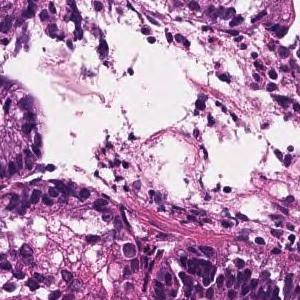
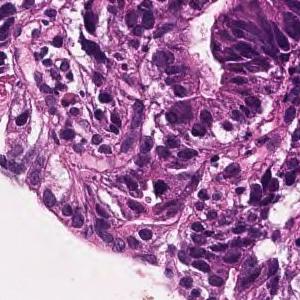
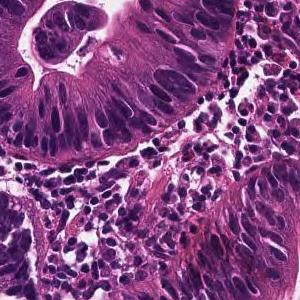
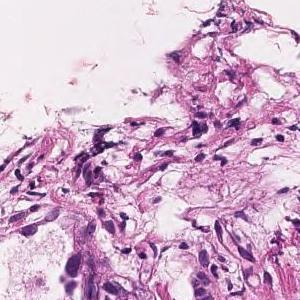
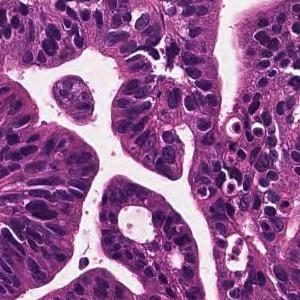
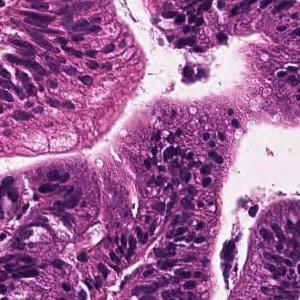
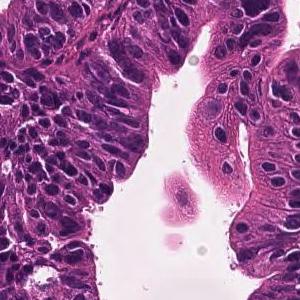
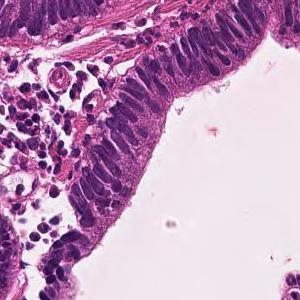
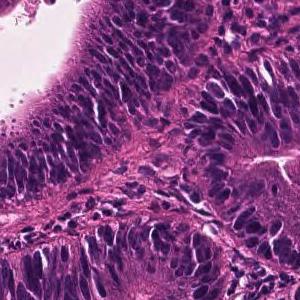
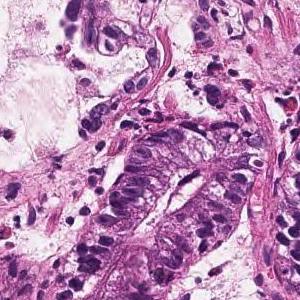
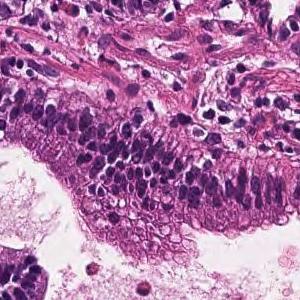
11 image tiles from a single gastric biopsy slide · 300 × 300 pixels each · scanned at ×20.
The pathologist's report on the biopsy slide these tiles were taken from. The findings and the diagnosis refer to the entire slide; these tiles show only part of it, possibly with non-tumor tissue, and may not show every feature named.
A large irregular tubular structure is exhibited in the epithelium, and tumor tissue that partially fuses and infiltrates and proliferates is observed. Large columnar tumor cells exhibit enlarged nucleus, hyperchromatism, and mitotic figures. Well differentiated tubular adenocarcinoma
